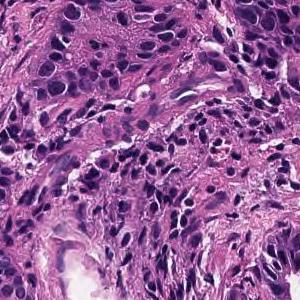
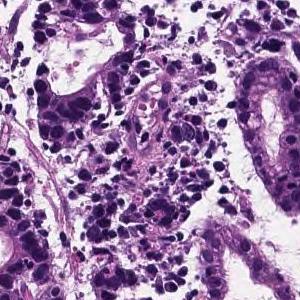
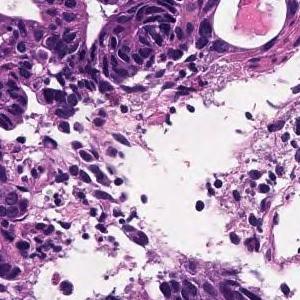
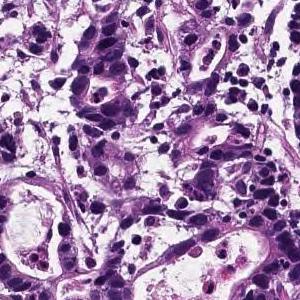
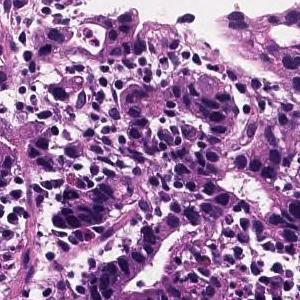
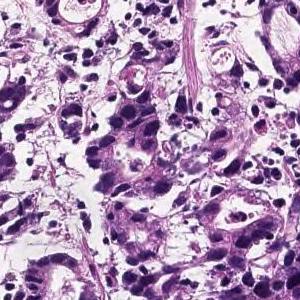
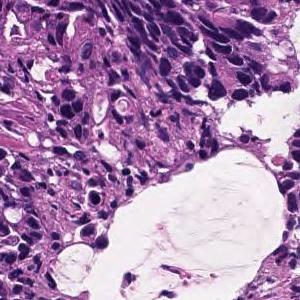
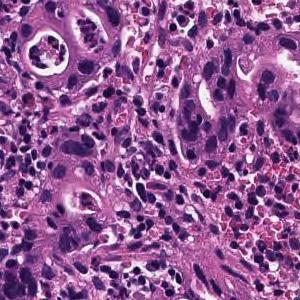
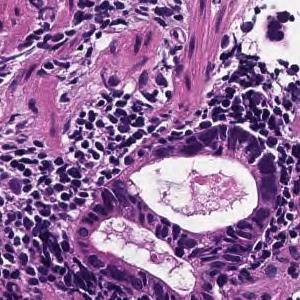
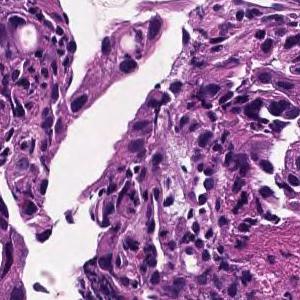
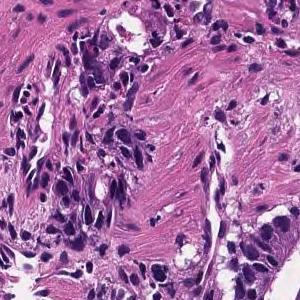
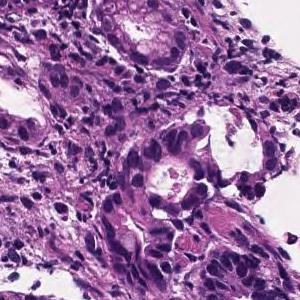
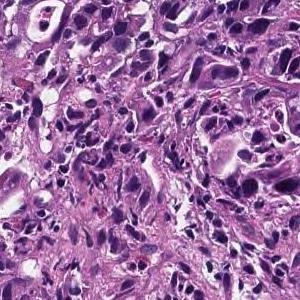
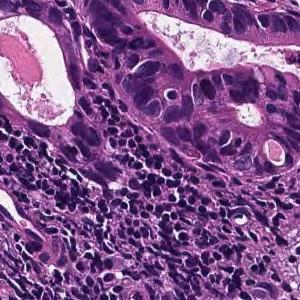
14 tiles from the same stomach biopsy slide; H&E.
Report on the slide these tiles come from. Both the report and the diagnosis are for the whole slide: these tiles need not show every feature named, and some of the tissue shown may not be tumor.
In the superficial epithelium, tumor tissue that invades by forming medium-sized to small, irregular ducts is observed. moderately differentiated tubular adenocarcinoma.
